6 patches cut from one gastric biopsy slide; 300×300 px each; H&E; ×20.
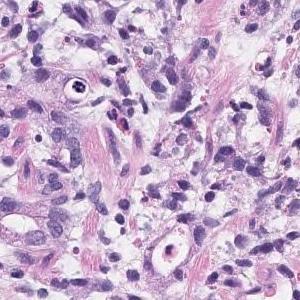
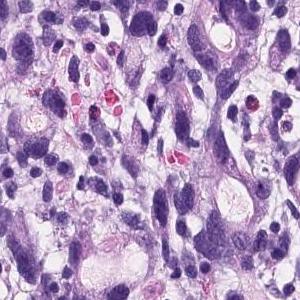
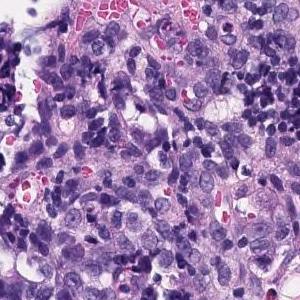
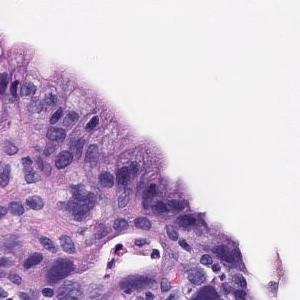
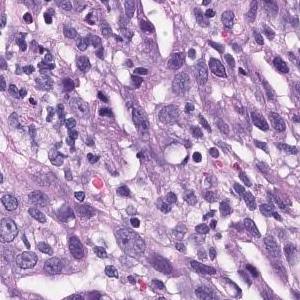
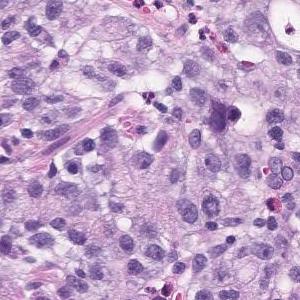
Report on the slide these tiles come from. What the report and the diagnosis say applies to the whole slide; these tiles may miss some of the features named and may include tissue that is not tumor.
There are atypical l cells with atypical nuclei forming cord-like or irregular atypical ducts from solidity and proliferating in a comprehensive manner. Poorly differentiated adenocarcinoma, Moderately differentiated adenocarcinoma (poorly differentiated adenocarcinoma, solid type moderately differentiated tubular adenocarcinoma)
Subtype: Moderately to poorly differentiated adenocarcinoma.
"Solid type" is a category of the Japanese Classification of Gastric Carcinoma; in the WHO 2019 classification it is tubular adenocarcinoma, poorly differentiated.
